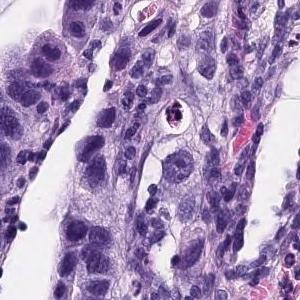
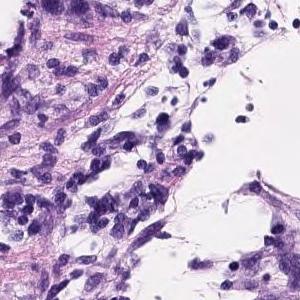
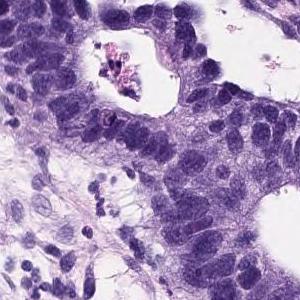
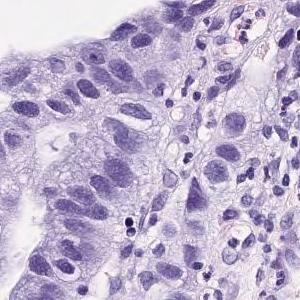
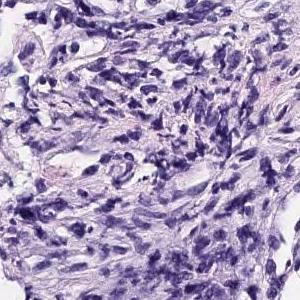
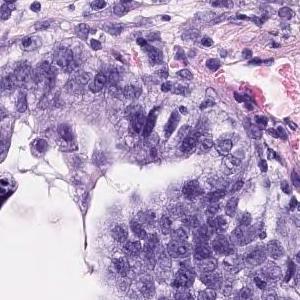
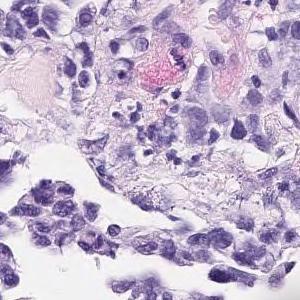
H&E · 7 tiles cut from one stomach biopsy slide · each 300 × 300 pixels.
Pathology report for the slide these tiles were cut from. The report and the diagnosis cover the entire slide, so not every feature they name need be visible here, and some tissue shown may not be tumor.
On the superficial epithelium, tumor tissue consisting of medium to small irregular tubules partially fused and proliferated is observed. moderately differentiated tubular adenocarcinoma
